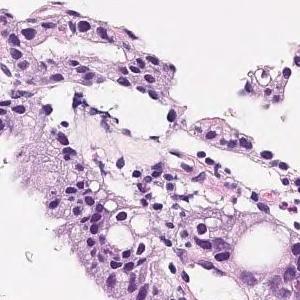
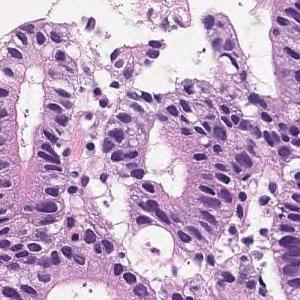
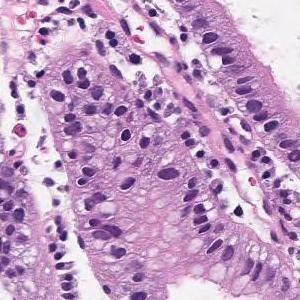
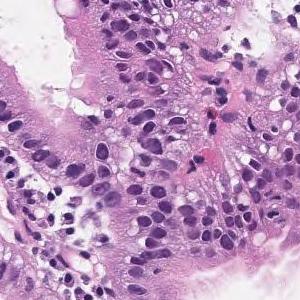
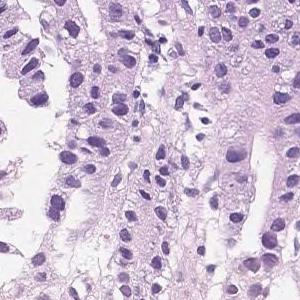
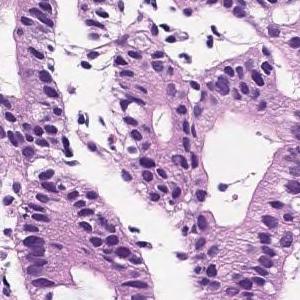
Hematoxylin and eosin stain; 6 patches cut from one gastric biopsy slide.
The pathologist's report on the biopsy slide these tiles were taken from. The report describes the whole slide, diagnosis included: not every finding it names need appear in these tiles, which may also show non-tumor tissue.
On the superficial epithelium, tumor tissue that infiltrates by forming medium-sized papillary or small irregular ducts is observed. Papillary adenocarcinoma
